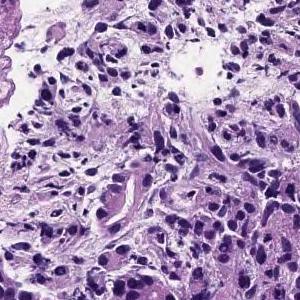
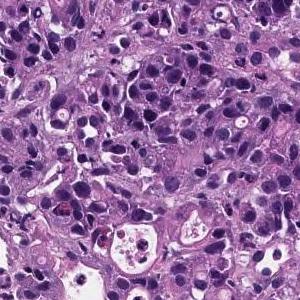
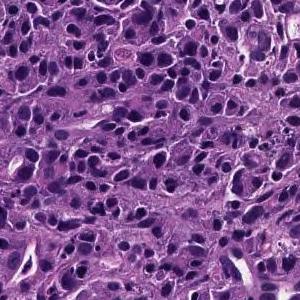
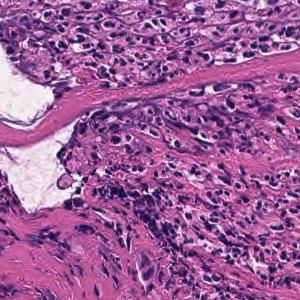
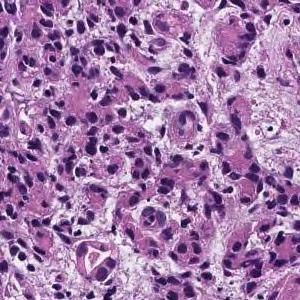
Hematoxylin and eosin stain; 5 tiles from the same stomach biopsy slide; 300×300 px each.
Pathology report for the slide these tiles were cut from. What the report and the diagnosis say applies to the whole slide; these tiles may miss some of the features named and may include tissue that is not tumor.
The superficial epithelium shows a large sheet-like shape, and some tumor tissue infiltrates with small irregular ducts. Poorly differentiated adenocarcinoma, solid-type
Histologic type: Poorly differentiated adenocarcinoma, solid type, a category of the Japanese Classification of Gastric Carcinoma; in the WHO 2019 classification it is tubular adenocarcinoma, poorly differentiated.
